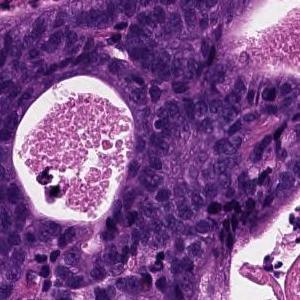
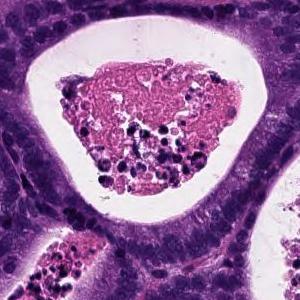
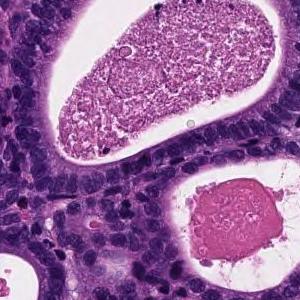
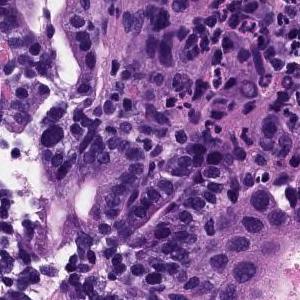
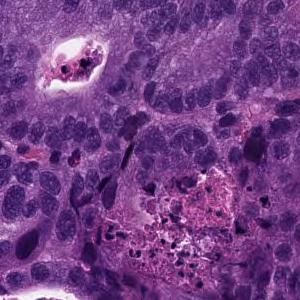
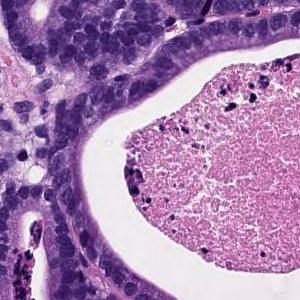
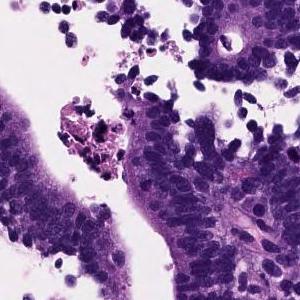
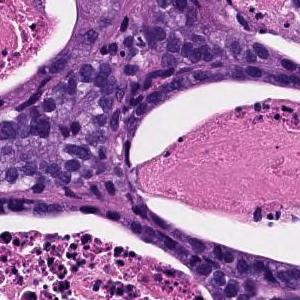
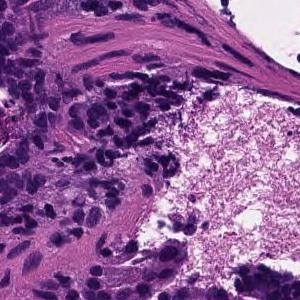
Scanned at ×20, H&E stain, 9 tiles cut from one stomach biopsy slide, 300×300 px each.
Pathology report for the biopsy slide these tiles were cut from. The report describes the whole slide, diagnosis included: not every finding it names need appear in these tiles, which may also show non-tumor tissue.
From the superficial epithelium to the muscularis mucosae, tumor tissue consisting of medium-sized and irregular glandular ducts infiltrating is observed. Well differentiated tubular adenocarcinoma
